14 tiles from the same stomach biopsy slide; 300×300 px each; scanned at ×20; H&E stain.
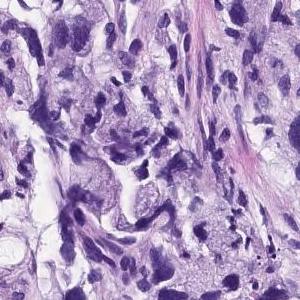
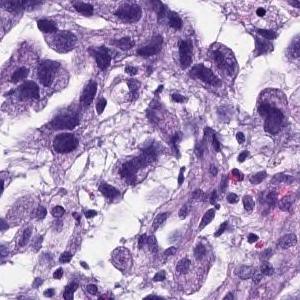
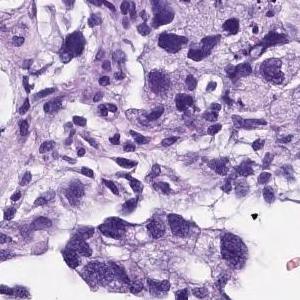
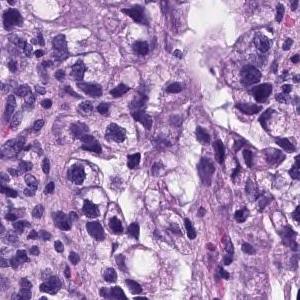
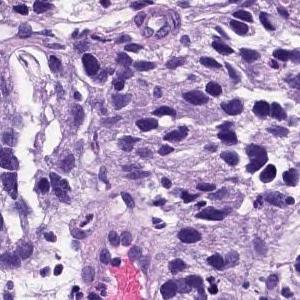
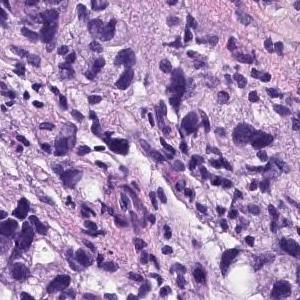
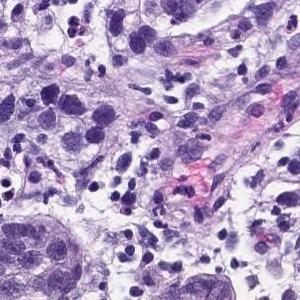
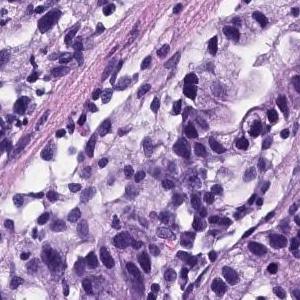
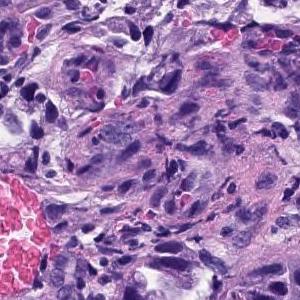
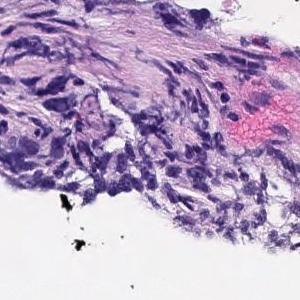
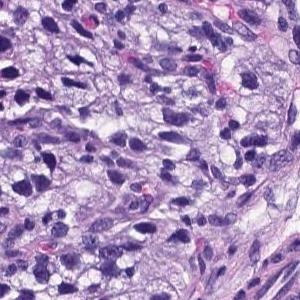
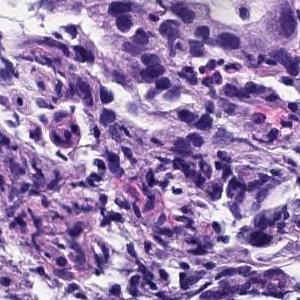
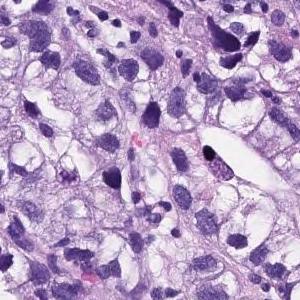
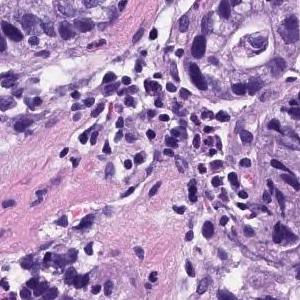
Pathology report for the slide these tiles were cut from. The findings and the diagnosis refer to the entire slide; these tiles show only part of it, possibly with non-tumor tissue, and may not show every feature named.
Medium to small, irregular glandular ducts are formed in the superficial epithelium, and in some cases, the glandular ducts are fused to show solid alveolar lesions and infiltrating tumor tissue is observed. Poorly differentiated adenocarcinoma, Moderately differentiated adenocarcinoma.
Labeled in the dataset as moderately differentiated tubular adenocarcinoma.
